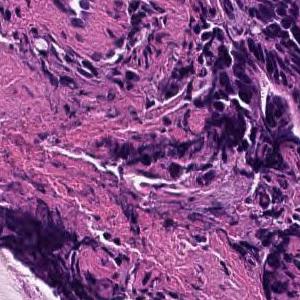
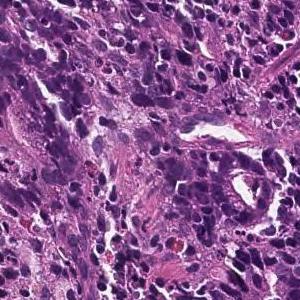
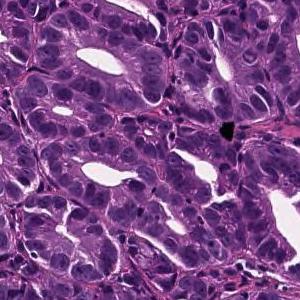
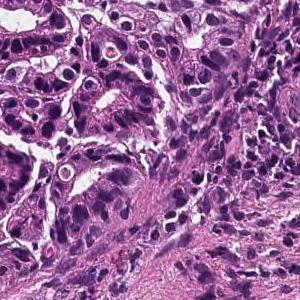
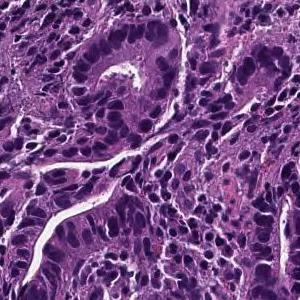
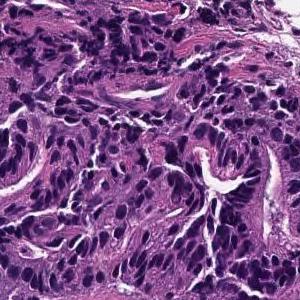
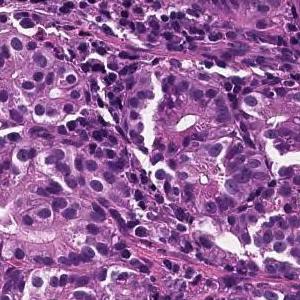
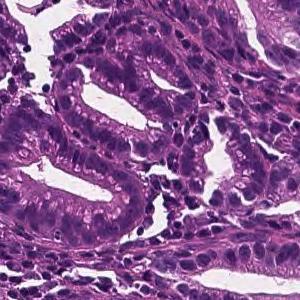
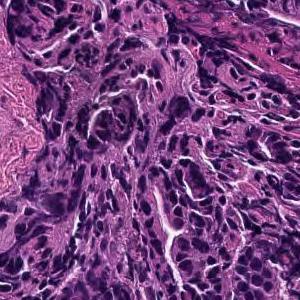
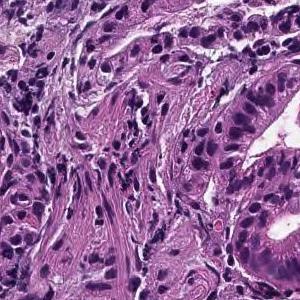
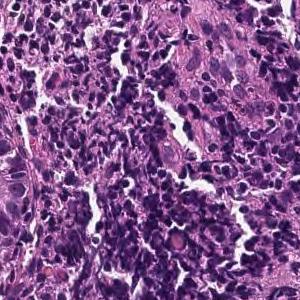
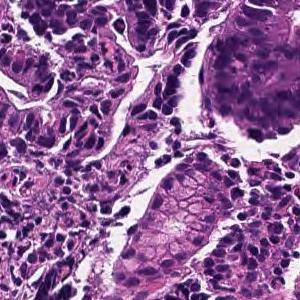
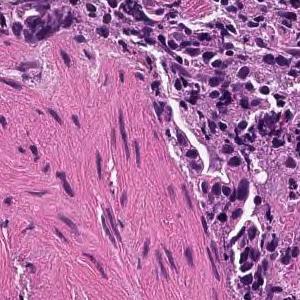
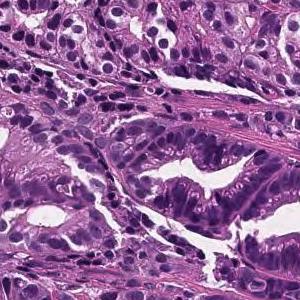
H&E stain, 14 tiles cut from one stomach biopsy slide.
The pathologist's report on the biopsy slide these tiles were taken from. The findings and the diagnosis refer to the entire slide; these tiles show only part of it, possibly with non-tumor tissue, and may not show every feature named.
On the superficial epithelium, tumor tissue consisting of large irregular glandular ducts partially fused and infiltrated is observed. Well to moderately differentiated tubular adenocarcinoma (well differentiated tubular adenocarcinoma, moderately differentiated tubular adenocarcinoma)
Histological subtype: Well to moderately differentiated tubular adenocarcinoma.
